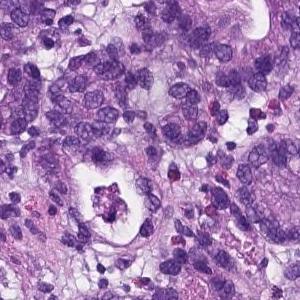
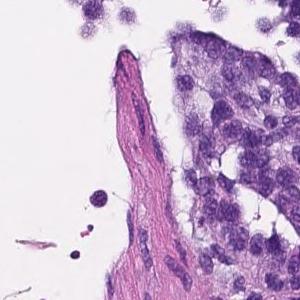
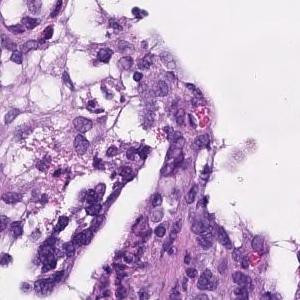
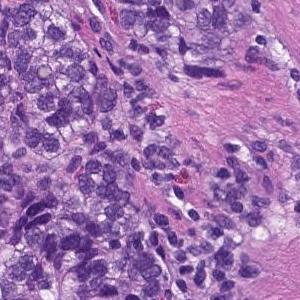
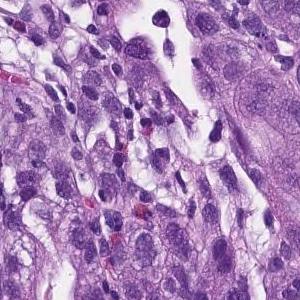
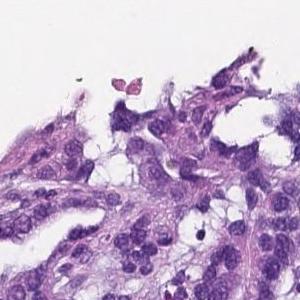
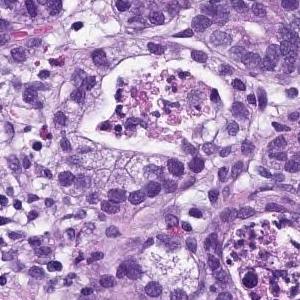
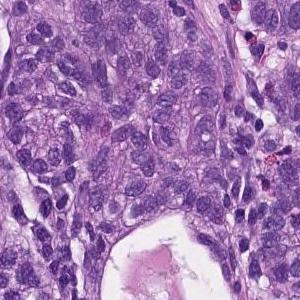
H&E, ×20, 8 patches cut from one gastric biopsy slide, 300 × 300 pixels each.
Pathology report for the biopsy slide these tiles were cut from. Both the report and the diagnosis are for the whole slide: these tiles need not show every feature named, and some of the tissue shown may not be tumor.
From the superficial epithelium to the muscularis mucosae, tumor tissue consisting of medium-sized and irregular glandular ducts infiltrating is observed. Well differentiated tubular adenocarcinoma
